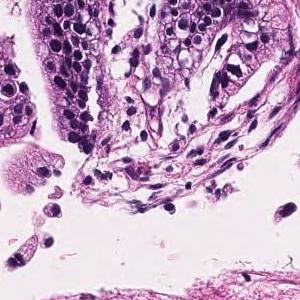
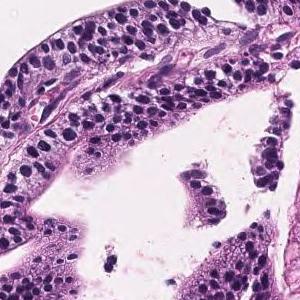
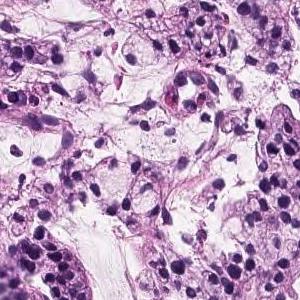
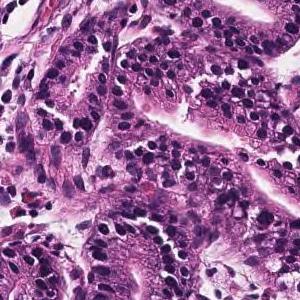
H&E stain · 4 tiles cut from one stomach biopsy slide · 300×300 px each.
The pathologist's report on the biopsy slide these tiles were taken from. The report and the diagnosis describe the slide as a whole, so these tiles may not show every feature named and may include non-tumor tissue.
Tumor tissue consisting of large papillary structures or irregular glandular ducts partially fused and infiltrated is observed in the superficial epithelium. Well to moderately differentiated tubular adenocarcinoma.
Dataset label: moderately differentiated tubular adenocarcinoma.
